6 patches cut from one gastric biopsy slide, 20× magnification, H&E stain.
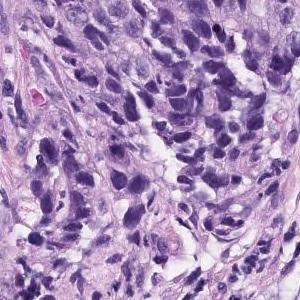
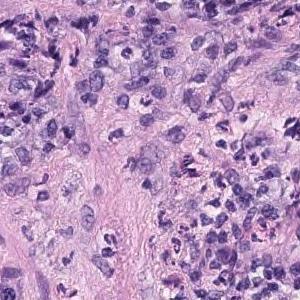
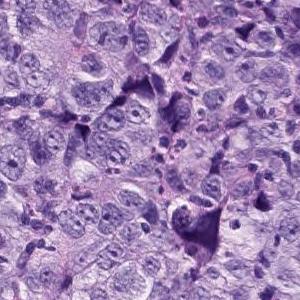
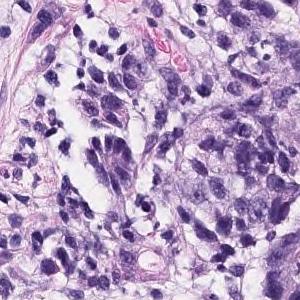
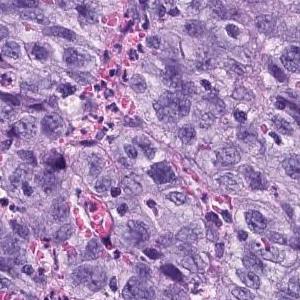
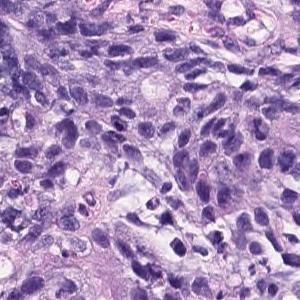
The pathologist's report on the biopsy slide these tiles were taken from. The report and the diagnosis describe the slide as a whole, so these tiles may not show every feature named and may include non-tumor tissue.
The superficial epithelium shows a large sheet-like shape, and some tumor tissue infiltrates with small irregular ducts. Poorly differentiated adenocarcinoma, solid-type
Classified as poorly differentiated adenocarcinoma, solid type. This name comes from the Japanese Classification of Gastric Carcinoma; the WHO 2019 classification calls it tubular adenocarcinoma, poorly differentiated.
